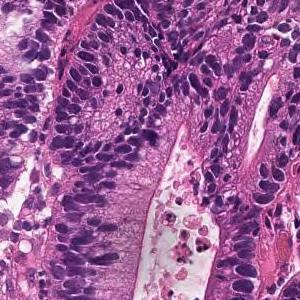
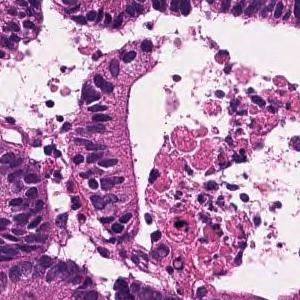
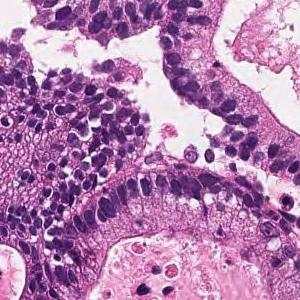
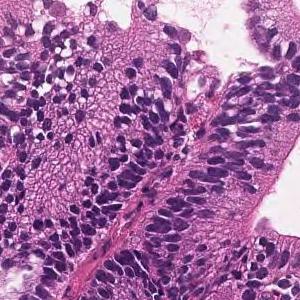
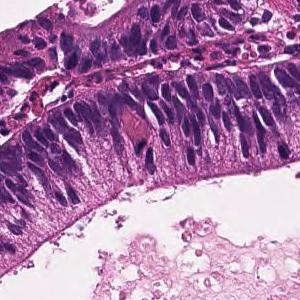
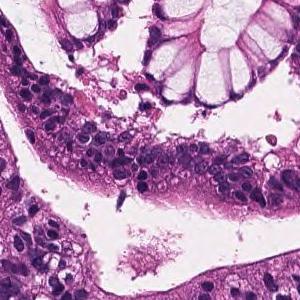
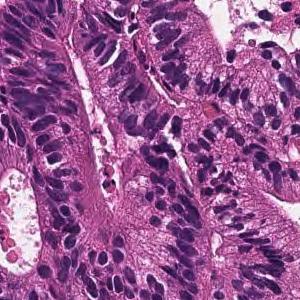
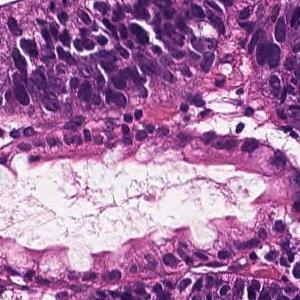
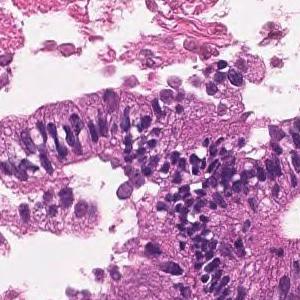
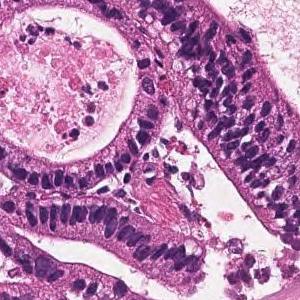
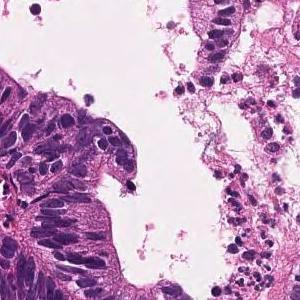
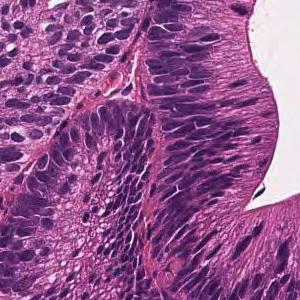
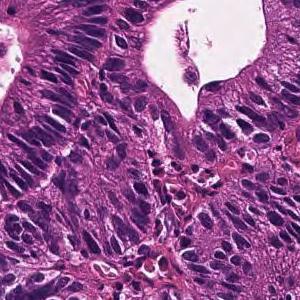
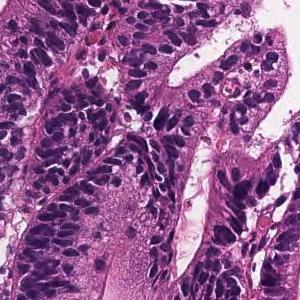
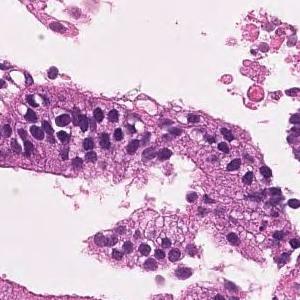
Scanned at ×20; hematoxylin and eosin stain; 15 tiles from the same stomach biopsy slide; 300 × 300 pixels each.
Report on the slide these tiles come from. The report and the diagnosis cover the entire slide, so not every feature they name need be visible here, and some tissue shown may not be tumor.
From the superficial epithelium to the muscularis mucosae, tumor tissue infiltrating by forming medium-sized irregular gland ducts is observed. Large tumor cells exhibit large nucleus and hyperchromatism. Well differentiated tubular adenocarcinoma
